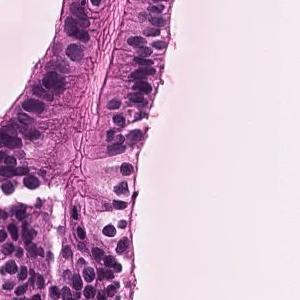
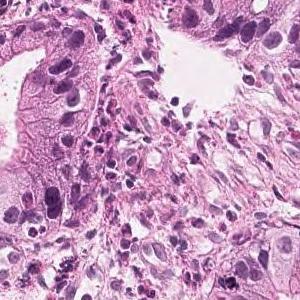
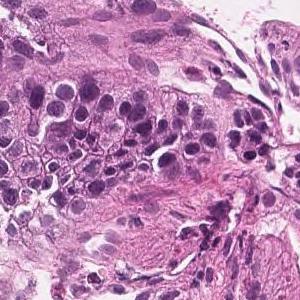
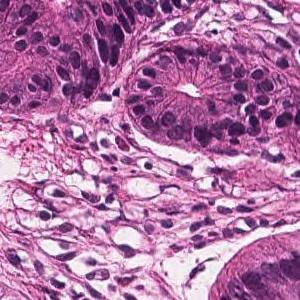
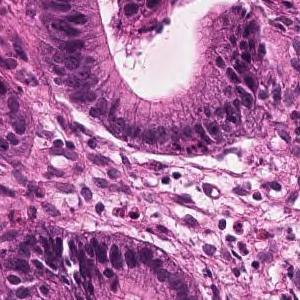
H&E, 5 tiles from the same stomach biopsy slide, 300×300 px each.
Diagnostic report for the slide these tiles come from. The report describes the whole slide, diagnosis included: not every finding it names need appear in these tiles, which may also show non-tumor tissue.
Tumor tissue consisting of medium-sized and irregular ducts is observed infiltrating in the superficial epithelium. Tumor cells are highly columnar, with nuclei aligned basolaterally and polarized. Well differentiated tubular adenocarcinoma.
